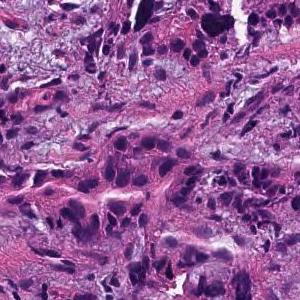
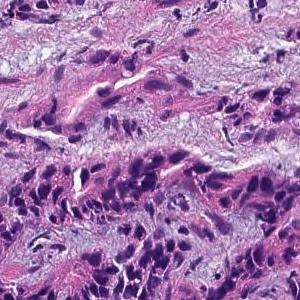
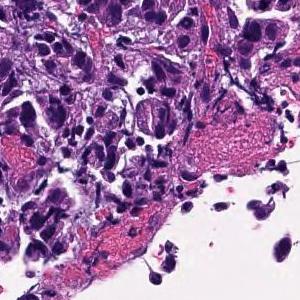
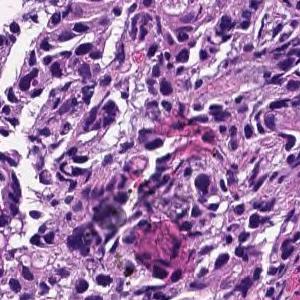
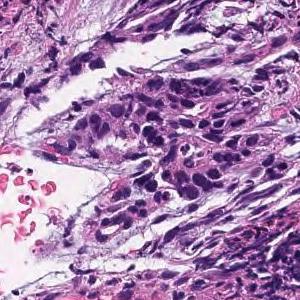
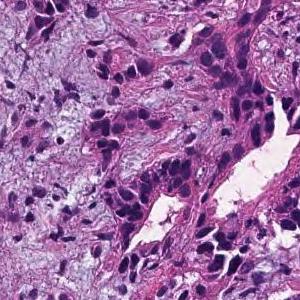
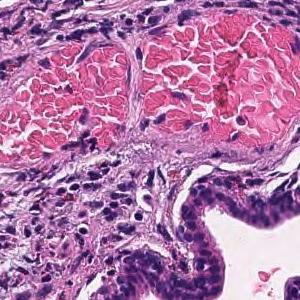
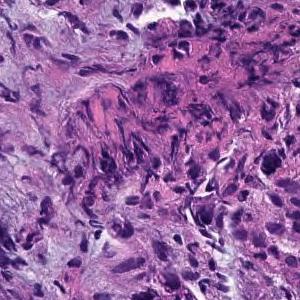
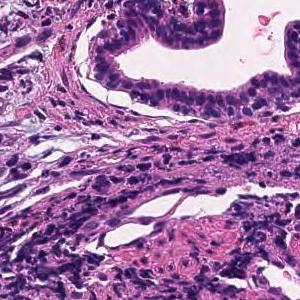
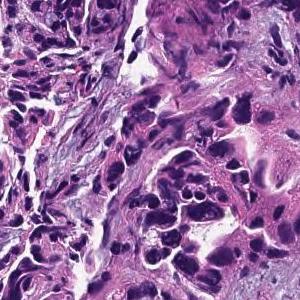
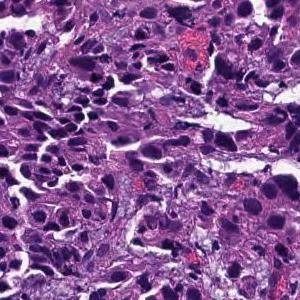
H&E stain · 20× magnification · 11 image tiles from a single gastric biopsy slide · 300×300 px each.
Diagnostic report for the slide these tiles come from. The findings and the diagnosis refer to the entire slide; these tiles show only part of it, possibly with non-tumor tissue, and may not show every feature named.
Tumor tissue consisting of cord-like or small, irregular glandular ducts fused and infiltrated is observed in the superficial epithelium. Poorly differentiated adenocarcinoma, non-solid type
The non-solid type named here is a Japanese Classification of Gastric Carcinoma category.
